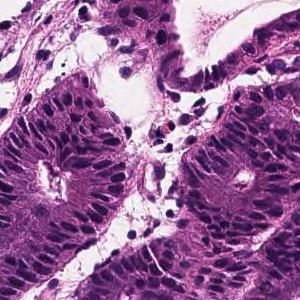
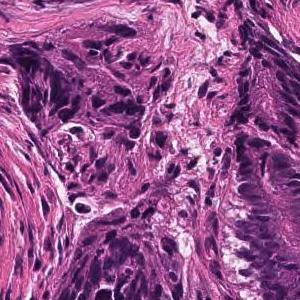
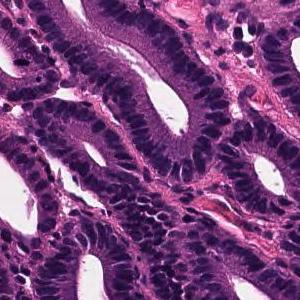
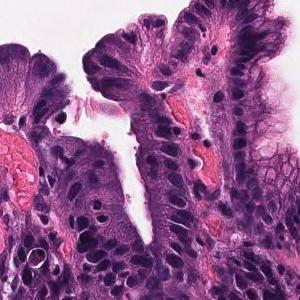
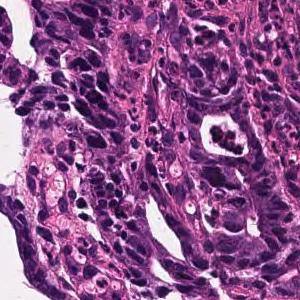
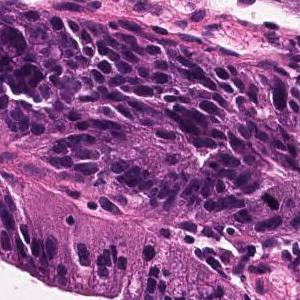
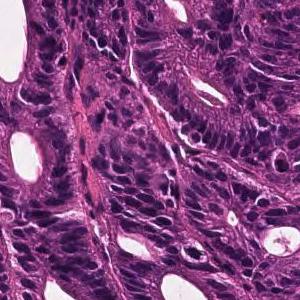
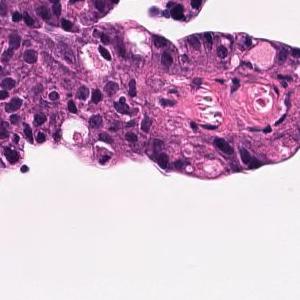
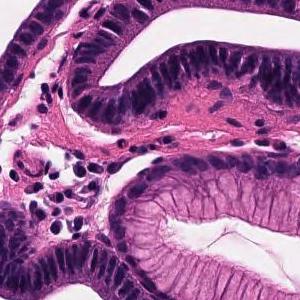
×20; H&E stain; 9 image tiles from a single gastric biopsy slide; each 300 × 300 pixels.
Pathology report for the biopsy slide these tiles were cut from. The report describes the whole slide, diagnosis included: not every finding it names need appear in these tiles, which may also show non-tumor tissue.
Tumor tissue that remains within the superficial epithelium and is infiltrated by large papillary or irregular ducts that fuse with each other is observed. Well differentiated tubular adenocarcinoma
